H&E stain; 5 tiles cut from one stomach biopsy slide; 300×300 px each.
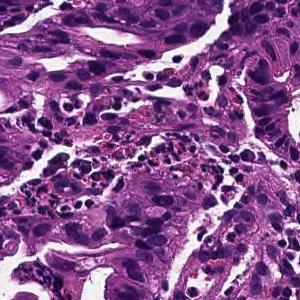
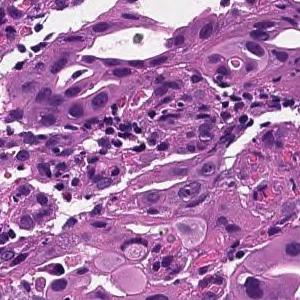
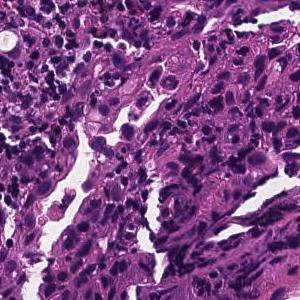
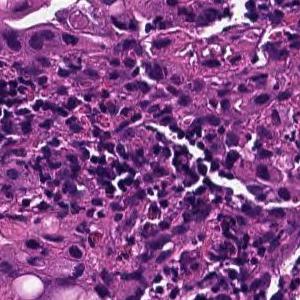
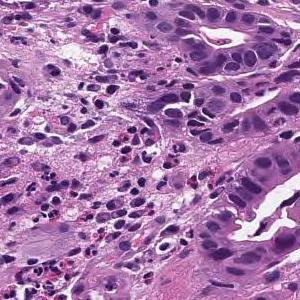
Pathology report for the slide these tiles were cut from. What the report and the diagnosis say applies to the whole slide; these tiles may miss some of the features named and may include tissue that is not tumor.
In the superficial epithelium, tumor tissue that invades by forming medium-sized to small, irregular ducts is observed. moderately differentiated tubular adenocarcinoma.
